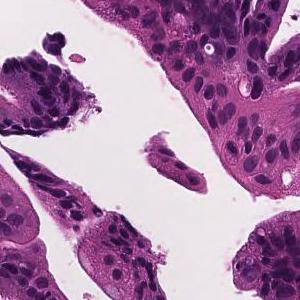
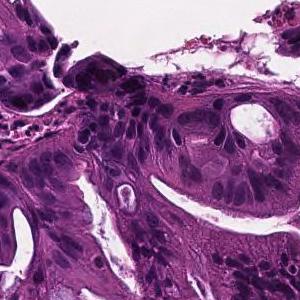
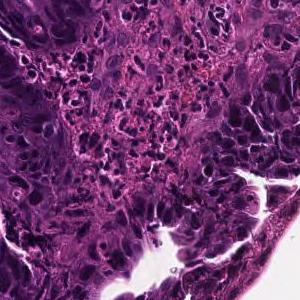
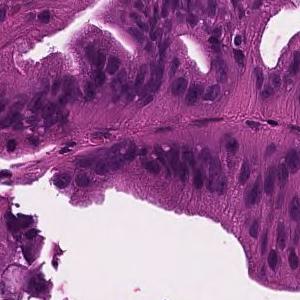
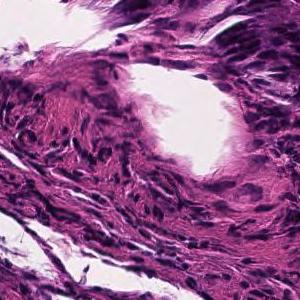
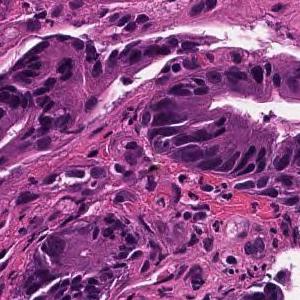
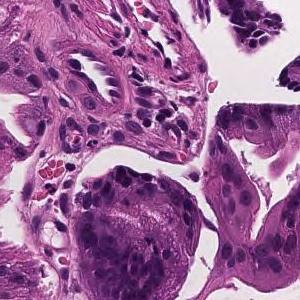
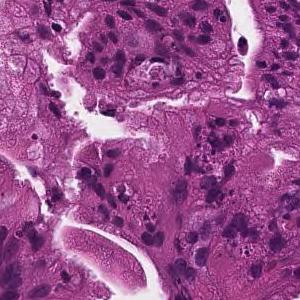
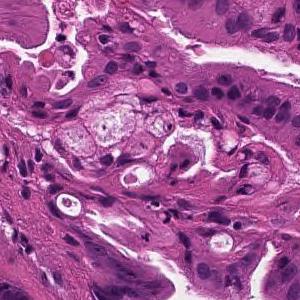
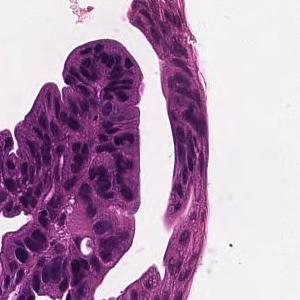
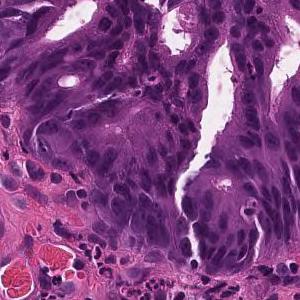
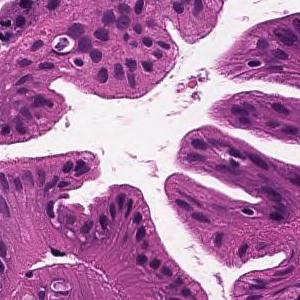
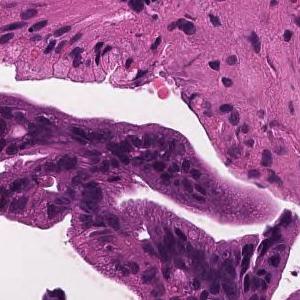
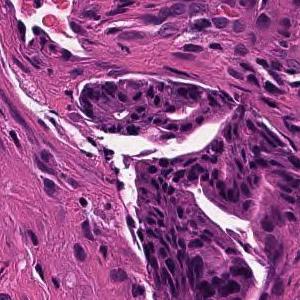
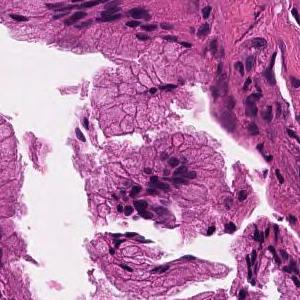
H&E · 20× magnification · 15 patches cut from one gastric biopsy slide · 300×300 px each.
Pathology report for the biopsy slide these tiles were cut from. The findings and the diagnosis refer to the entire slide; these tiles show only part of it, possibly with non-tumor tissue, and may not show every feature named.
Tumor cells are large, highly columnar, large club-shaped nuclei, and are associated with chromatin aggregation. Papillary adenocarcinoma.
